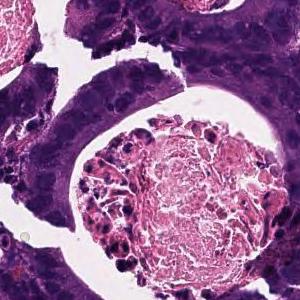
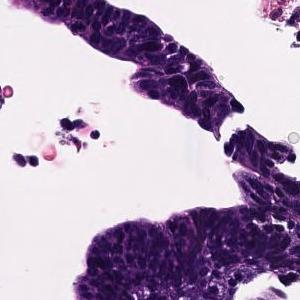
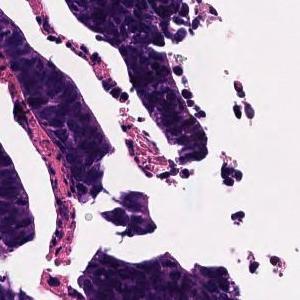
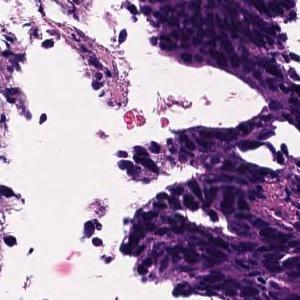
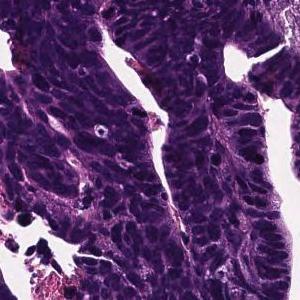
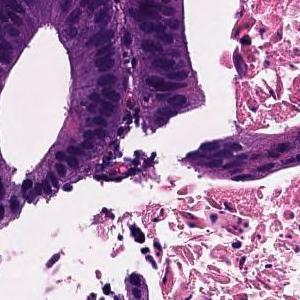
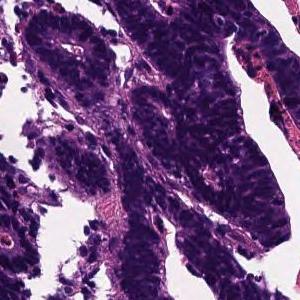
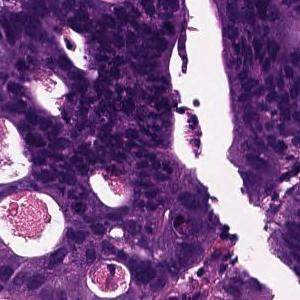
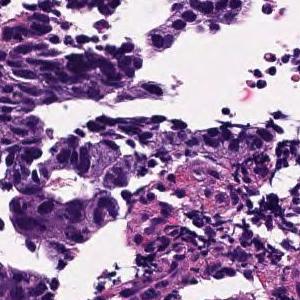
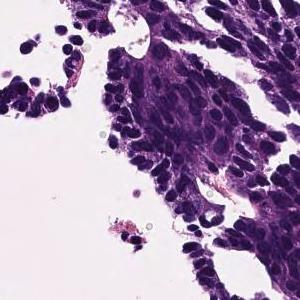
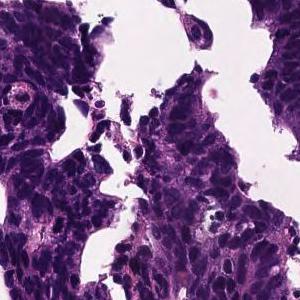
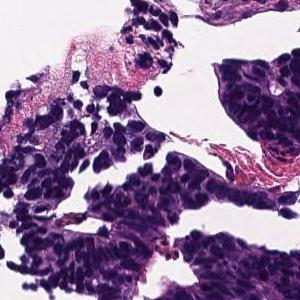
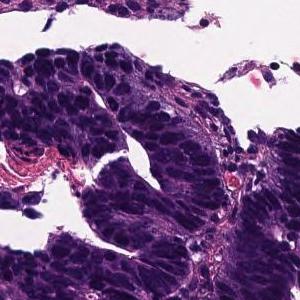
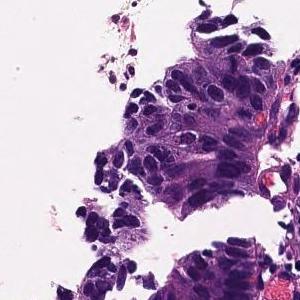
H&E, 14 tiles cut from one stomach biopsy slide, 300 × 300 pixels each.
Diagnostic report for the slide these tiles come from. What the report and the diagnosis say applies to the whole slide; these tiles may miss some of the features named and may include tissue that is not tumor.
In the superficial epithelium, tumor tissue that invades by forming medium-sized to small, irregular ducts is observed. moderately differentiated tubular adenocarcinoma.
